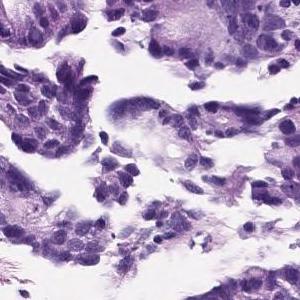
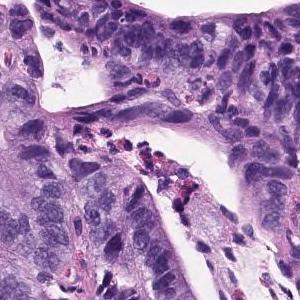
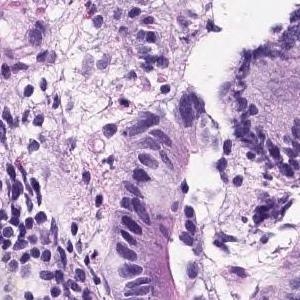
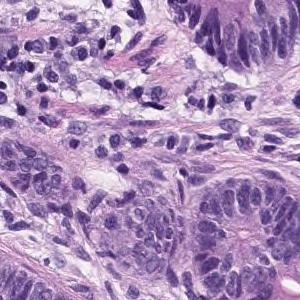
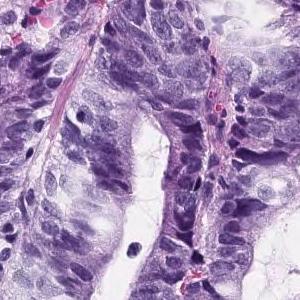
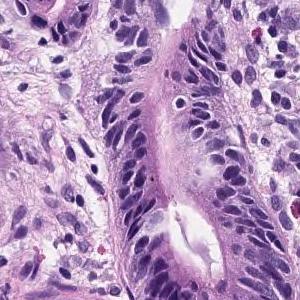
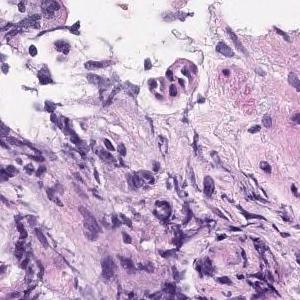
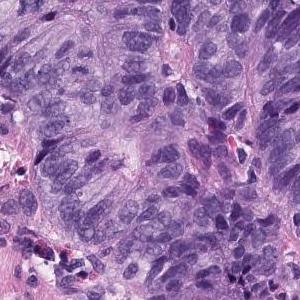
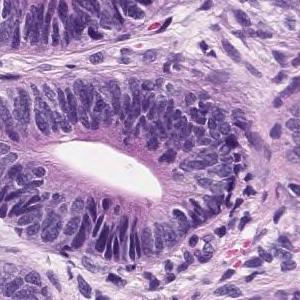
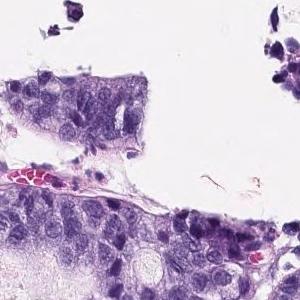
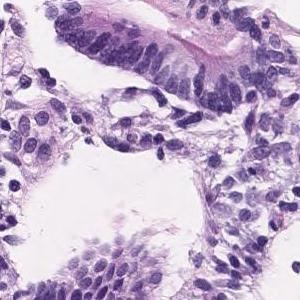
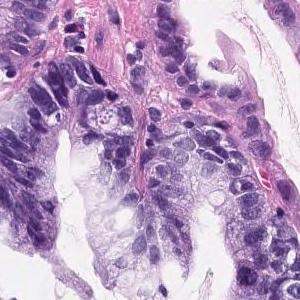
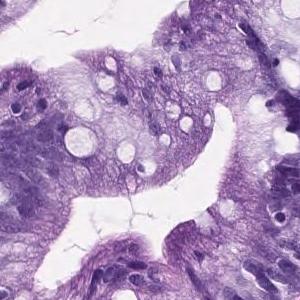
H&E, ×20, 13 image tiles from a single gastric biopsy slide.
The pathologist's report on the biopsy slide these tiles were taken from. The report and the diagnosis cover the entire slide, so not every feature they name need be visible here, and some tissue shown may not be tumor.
On the superficial epithelium, tumor tissue consisting of medium-sized to large-sized, round or irregular glandular duct growth images is observed. Well differentiated adenocarcinoma.
Histological subtype: Well differentiated tubular adenocarcinoma.
